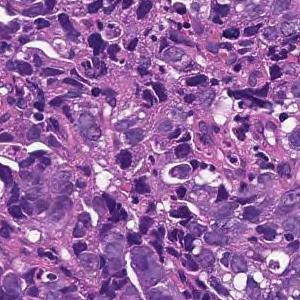
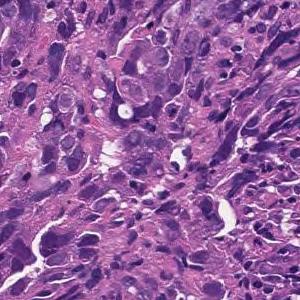
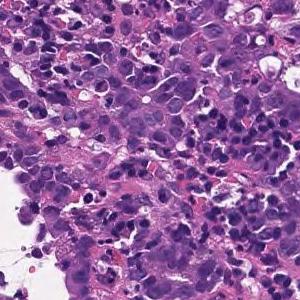
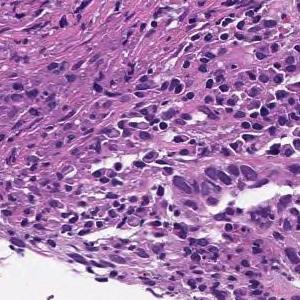
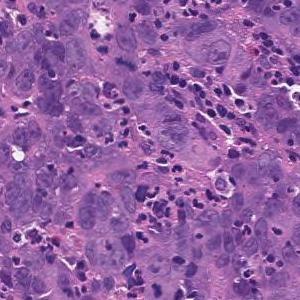
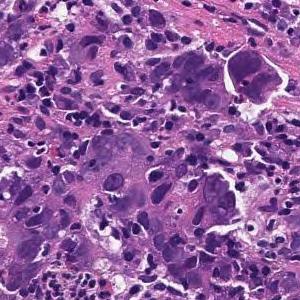
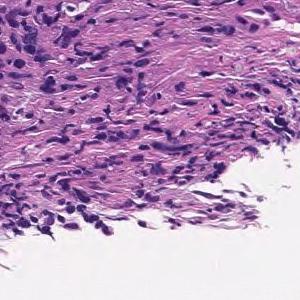
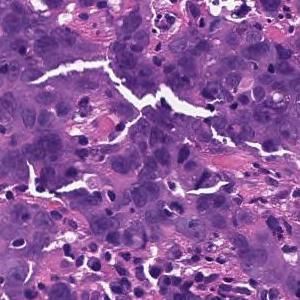
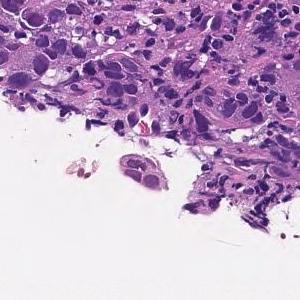
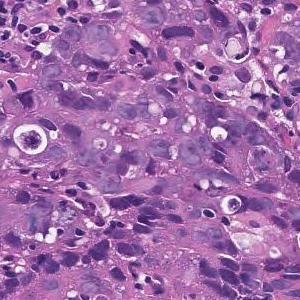
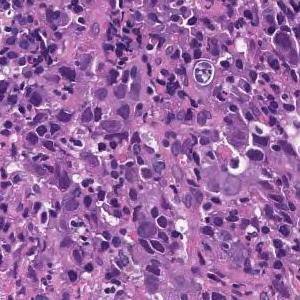
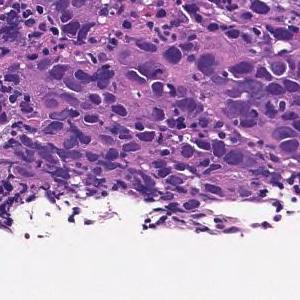
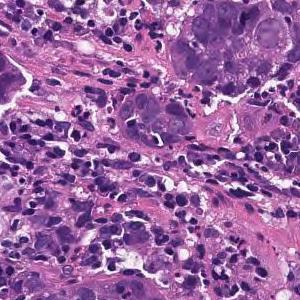
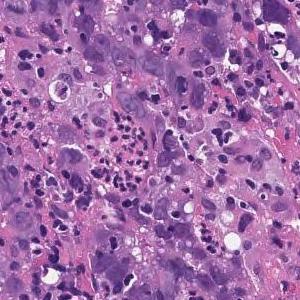
14 patches cut from one gastric biopsy slide; H&E.
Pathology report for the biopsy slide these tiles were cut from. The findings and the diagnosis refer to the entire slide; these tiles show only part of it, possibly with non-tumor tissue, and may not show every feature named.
Tumor tissue consisting of cord-like or small, irregular glandular ducts fused and infiltrated is observed in the superficial epithelium. Poorly differentiated adenocarcinoma, non-solid type
The non-solid type named here is a Japanese Classification of Gastric Carcinoma category.
